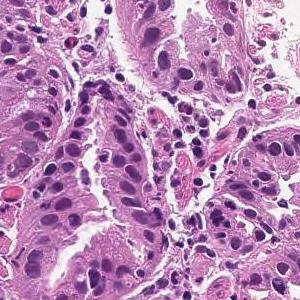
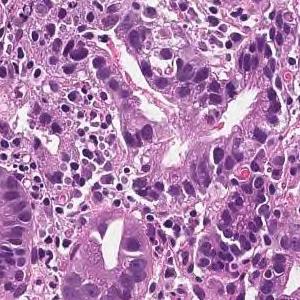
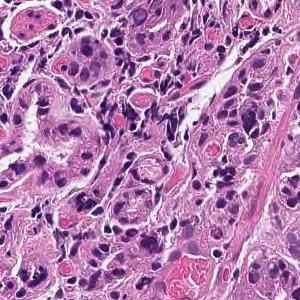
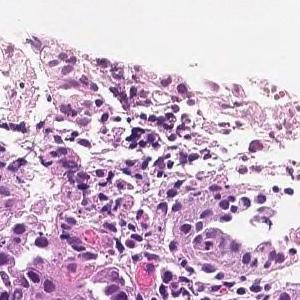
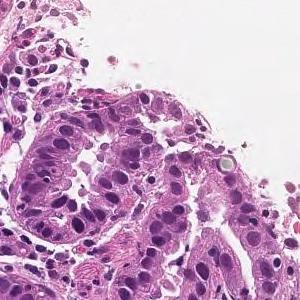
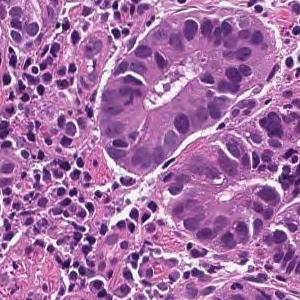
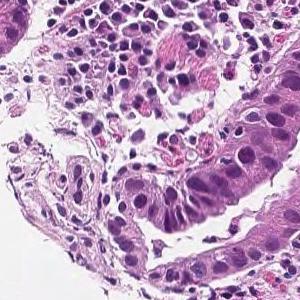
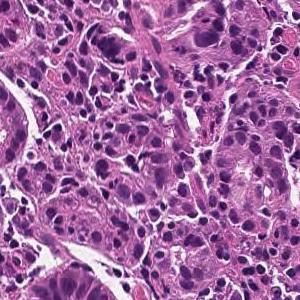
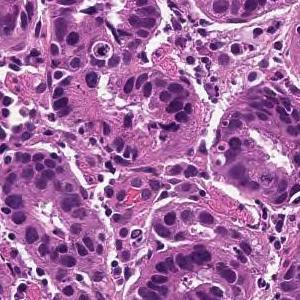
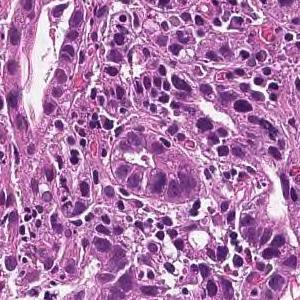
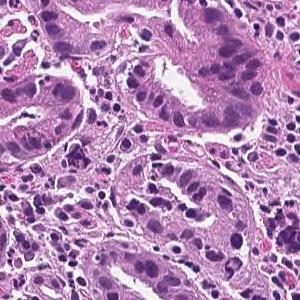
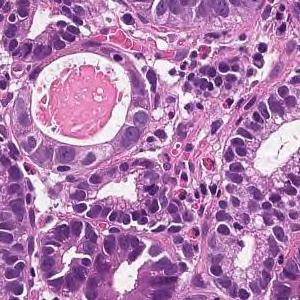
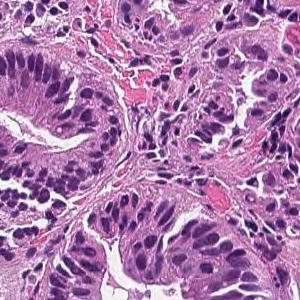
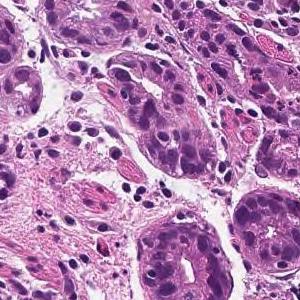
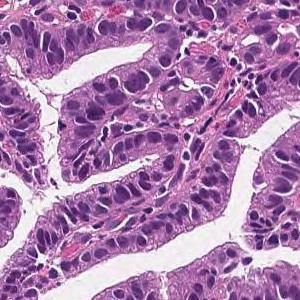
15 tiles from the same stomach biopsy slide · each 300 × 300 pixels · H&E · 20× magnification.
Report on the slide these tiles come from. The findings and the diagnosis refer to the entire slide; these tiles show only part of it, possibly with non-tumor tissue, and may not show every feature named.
On the superficial epithelium, tumor tissue consisting of large irregular glandular ducts partially fused and infiltrated is observed. Well to moderately differentiated tubular adenocarcinoma (well differentiated tubular adenocarcinoma, moderately differentiated tubular adenocarcinoma)
Tumor subtype: well to moderately differentiated tubular adenocarcinoma.
